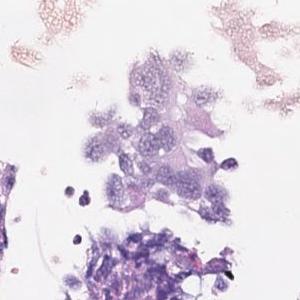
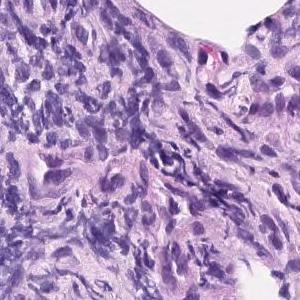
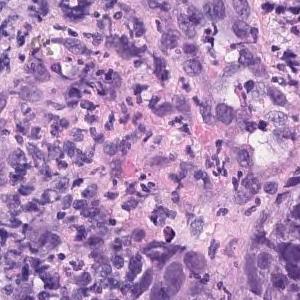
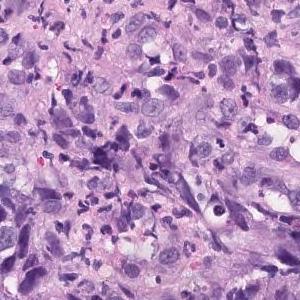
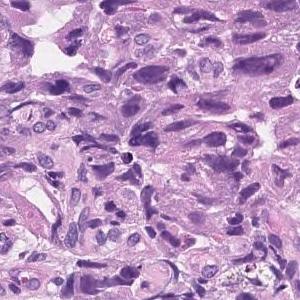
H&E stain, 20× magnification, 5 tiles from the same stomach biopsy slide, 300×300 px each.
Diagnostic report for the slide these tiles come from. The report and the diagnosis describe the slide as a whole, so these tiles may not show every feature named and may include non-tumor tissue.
Atypical epithelial cells infiltrating and proliferating diffusely or while forming vesicles is observed. Poorly differentiated adenocarcinoma (poorly differentiated adenocarcinoma, solid type moderately differentiated tubular adenocarcinoma)
Dataset label: poorly differentiated adenocarcinoma, solid type (Japanese Classification of Gastric Carcinoma). The WHO 2019 equivalent is tubular adenocarcinoma, poorly differentiated.
